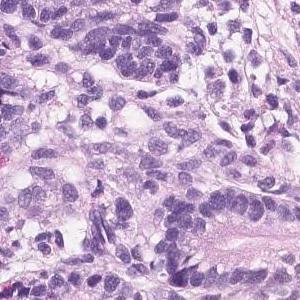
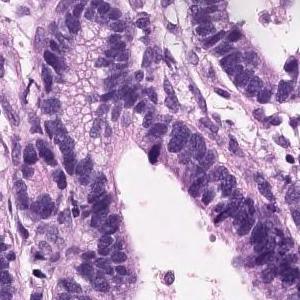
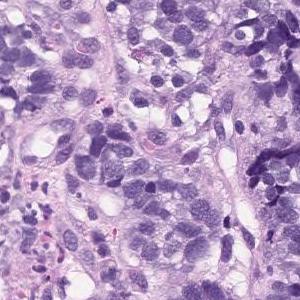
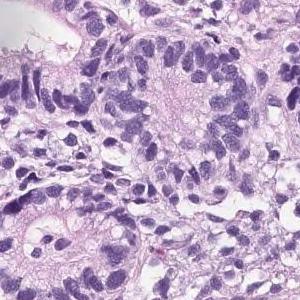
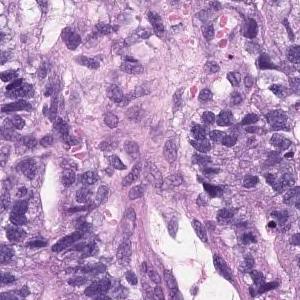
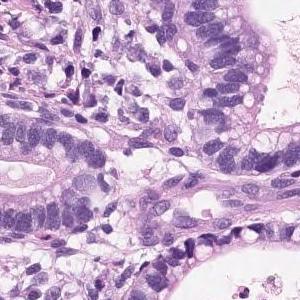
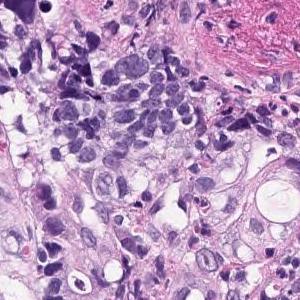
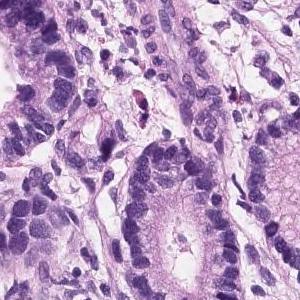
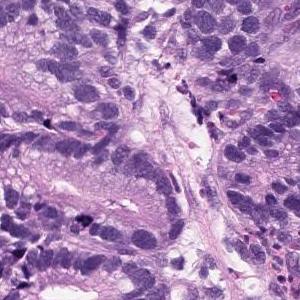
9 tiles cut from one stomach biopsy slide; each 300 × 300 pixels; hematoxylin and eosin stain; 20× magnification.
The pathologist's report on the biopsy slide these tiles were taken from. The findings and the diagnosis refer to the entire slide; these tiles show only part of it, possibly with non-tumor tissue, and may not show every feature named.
Hyperplasia of atypical epithelial cells with swelling of the nucleus is observed. Moderately diffentiated tubular adenocarcinoma
Histologic type: Moderately differentiated tubular adenocarcinoma.
